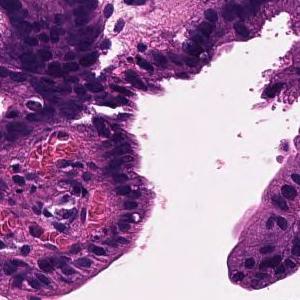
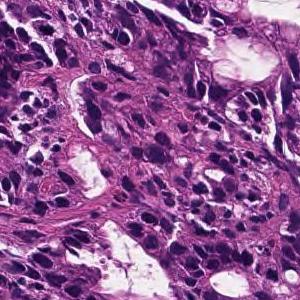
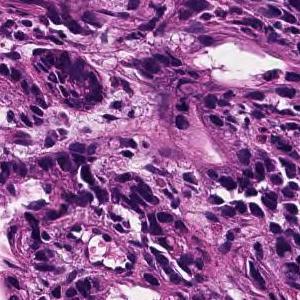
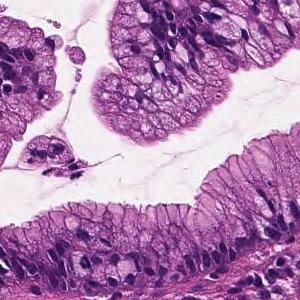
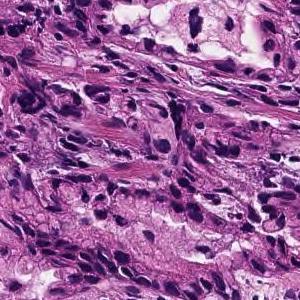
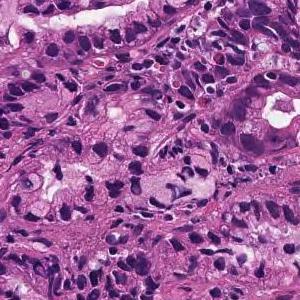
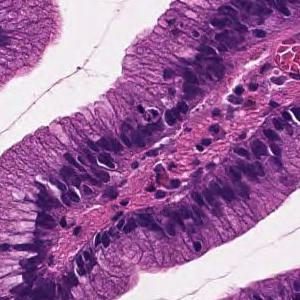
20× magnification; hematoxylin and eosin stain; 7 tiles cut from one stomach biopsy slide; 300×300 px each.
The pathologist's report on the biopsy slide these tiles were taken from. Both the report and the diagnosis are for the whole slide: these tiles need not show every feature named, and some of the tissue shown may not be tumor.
On the superficial epithelium, tumor tissue consisting of medium-sized and irregular glandular ducts partially fused and infiltrated is observed. Well to moderately differentiated tubular adenocarcinoma (well differentiated tubular adenocarcinoma-moderately differentiated tubular adenocarcinoma)
Histologic type: Well to moderately differentiated tubular adenocarcinoma.
